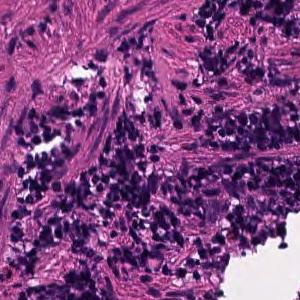
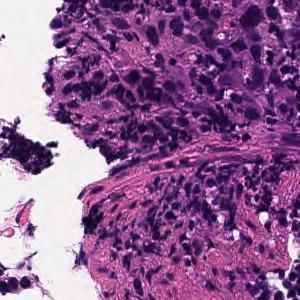
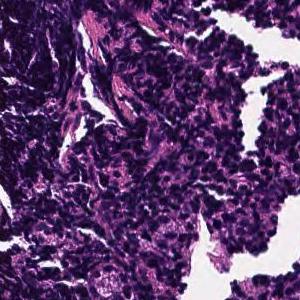
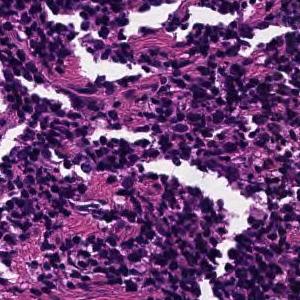
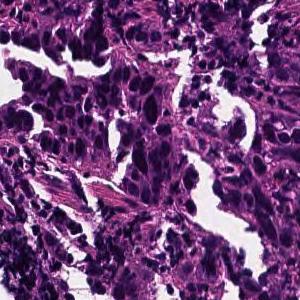
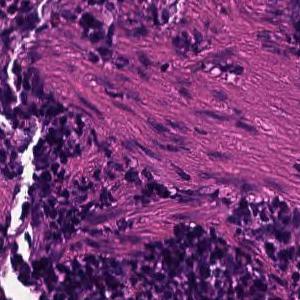
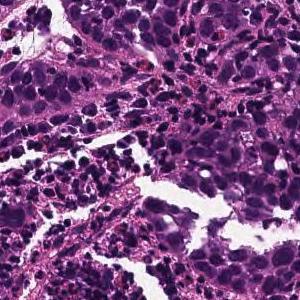
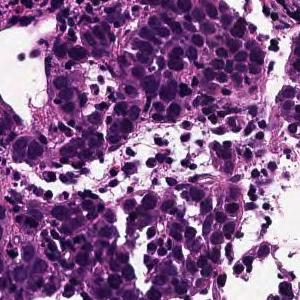
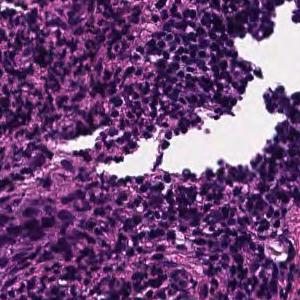
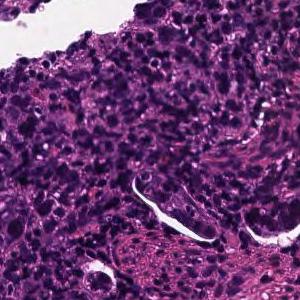
10 tiles cut from one stomach biopsy slide; 300 × 300 pixels each; 20× magnification; hematoxylin and eosin stain.
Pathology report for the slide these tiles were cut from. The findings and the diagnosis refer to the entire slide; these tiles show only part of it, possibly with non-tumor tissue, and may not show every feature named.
Tumor tissue consisting of cord-like or small, irregular glandular ducts fused and infiltrated is observed in the superficial epithelium. Poorly differentiated adenocarcinoma, non-solid type
The non-solid type named here is a Japanese Classification of Gastric Carcinoma category.
